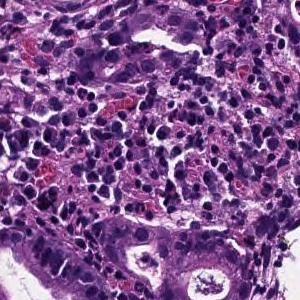
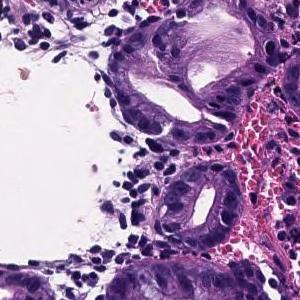
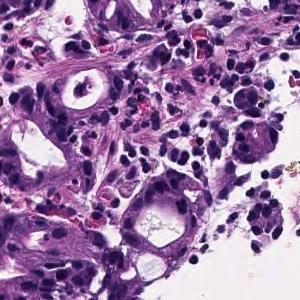
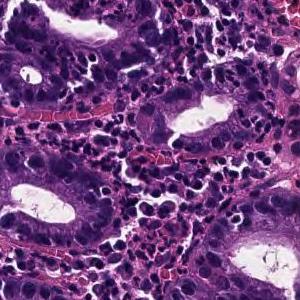
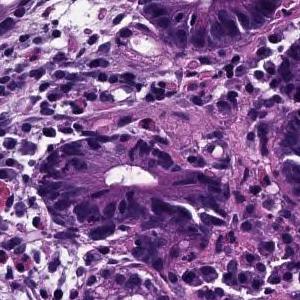
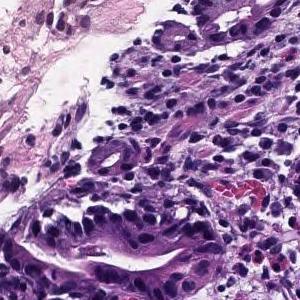
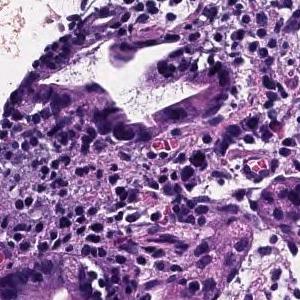
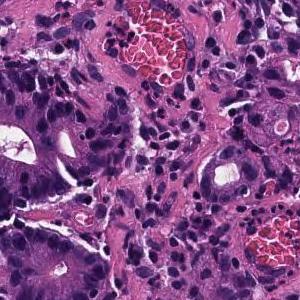
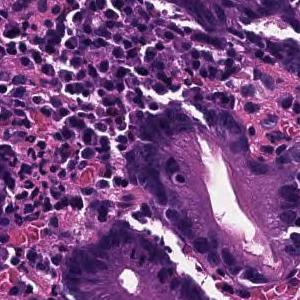
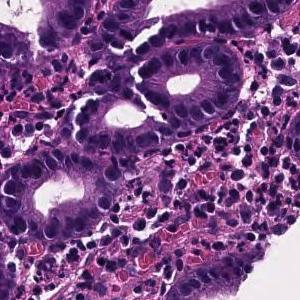
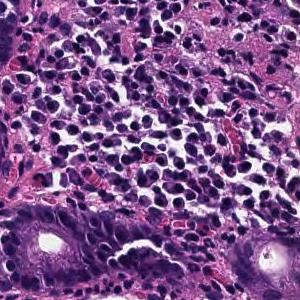
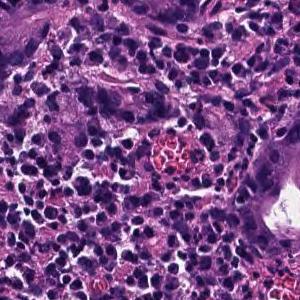
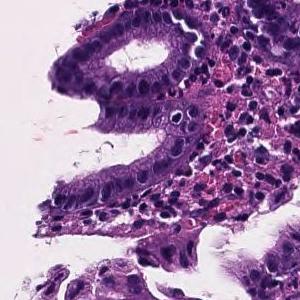
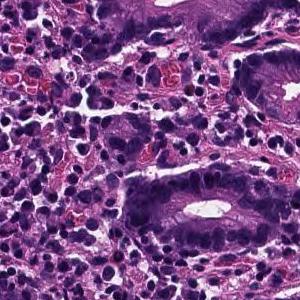
14 tiles cut from one stomach biopsy slide · hematoxylin and eosin stain.
Report on the slide these tiles come from. The findings and the diagnosis refer to the entire slide; these tiles show only part of it, possibly with non-tumor tissue, and may not show every feature named.
In the superficial epithelium, tumor tissue that invades by forming medium-sized to small, irregular ducts is observed. moderately differentiated tubular adenocarcinoma.
